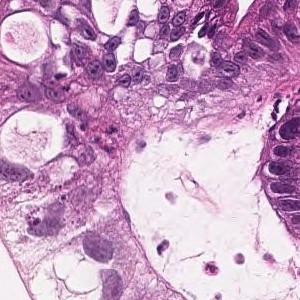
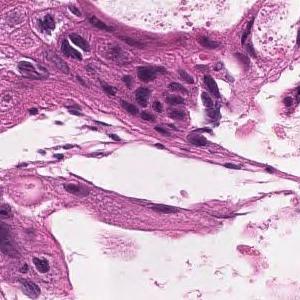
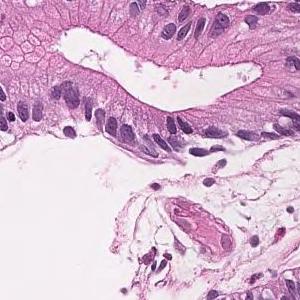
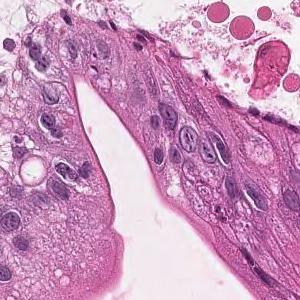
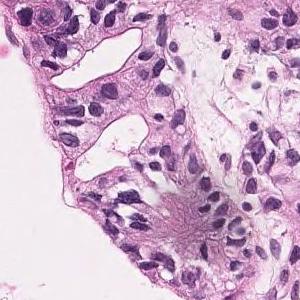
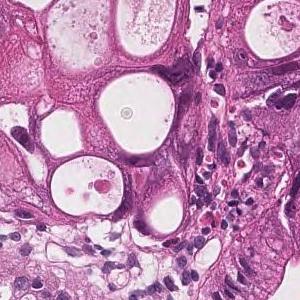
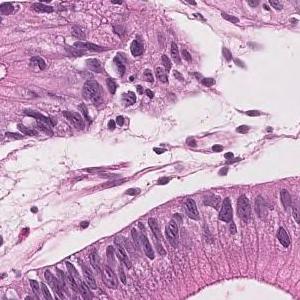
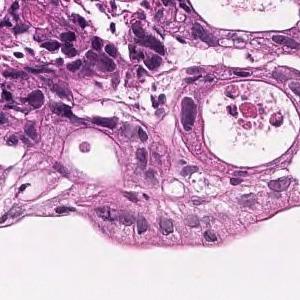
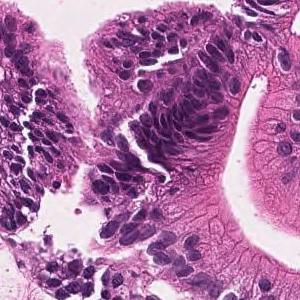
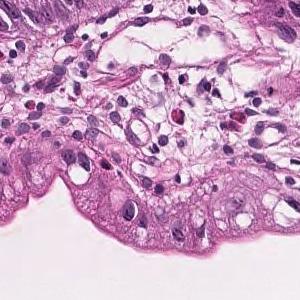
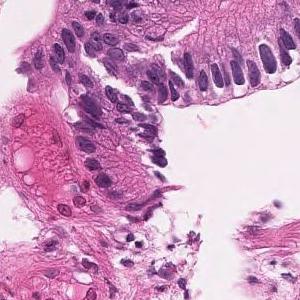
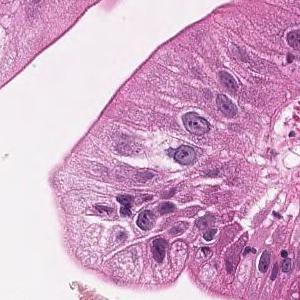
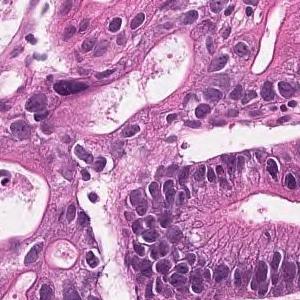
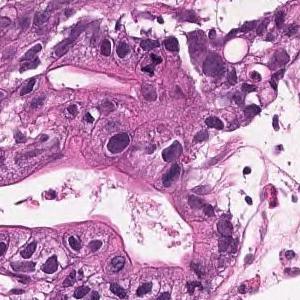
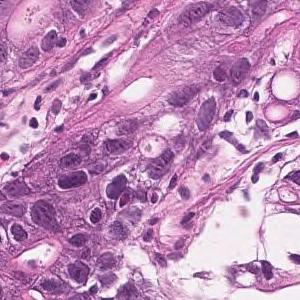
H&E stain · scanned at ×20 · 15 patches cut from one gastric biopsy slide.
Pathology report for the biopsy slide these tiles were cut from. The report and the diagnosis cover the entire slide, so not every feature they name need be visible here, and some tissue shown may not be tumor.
On the superficial epithelium, tumor tissue that infiltrates by forming medium-sized papillary or small irregular ducts is observed. Papillary adenocarcinoma
